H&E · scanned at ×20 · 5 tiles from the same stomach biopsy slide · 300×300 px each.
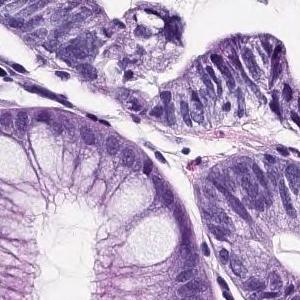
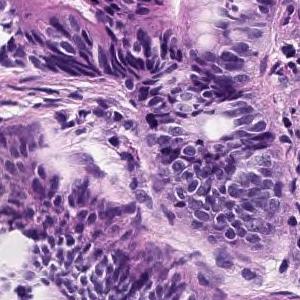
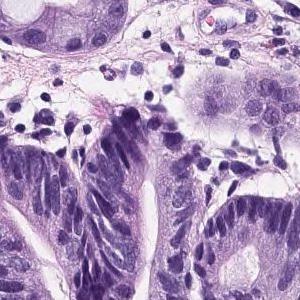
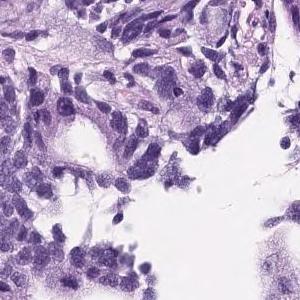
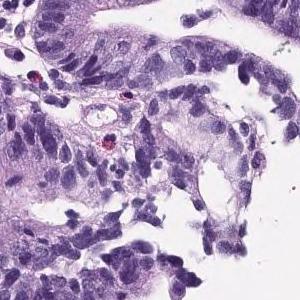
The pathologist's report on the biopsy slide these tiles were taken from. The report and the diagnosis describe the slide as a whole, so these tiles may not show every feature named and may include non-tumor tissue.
On the superficial epithelium, tumor tissue consisting of medium-sized to large-sized, round or irregular glandular duct growth images is observed. Well differentiated adenocarcinoma.
Subtype: Well differentiated tubular adenocarcinoma.
